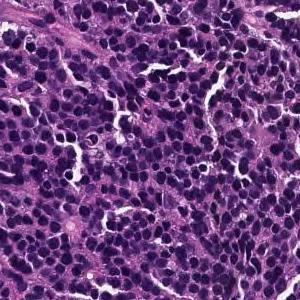
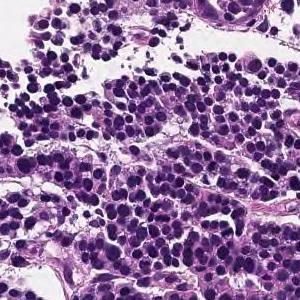
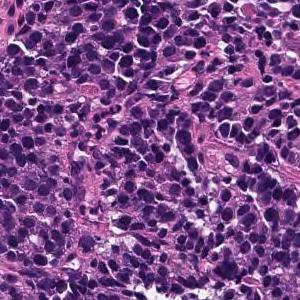
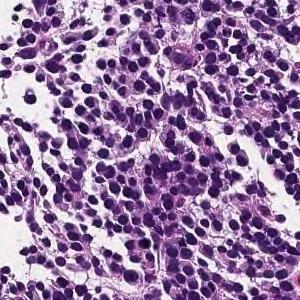
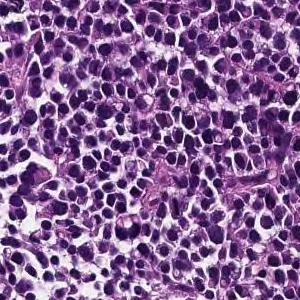
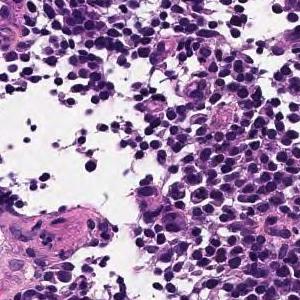
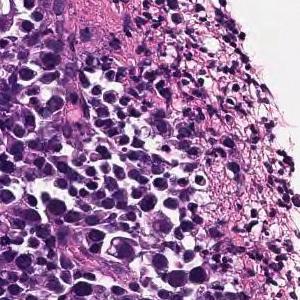
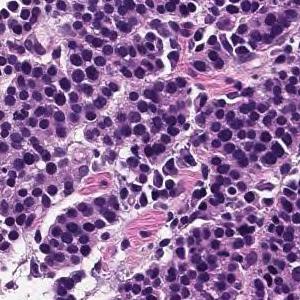
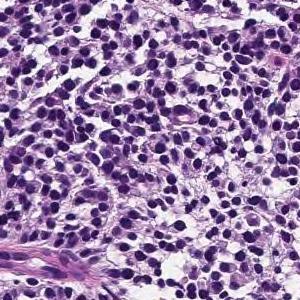
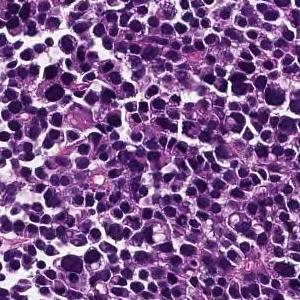
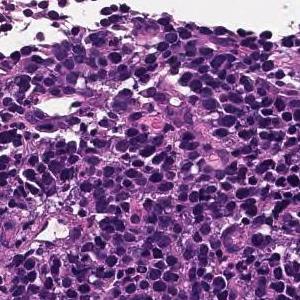
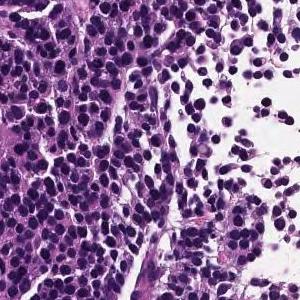
12 image tiles from a single gastric biopsy slide, ×20.
Pathology report for the biopsy slide these tiles were cut from. The report and the diagnosis cover the entire slide, so not every feature they name need be visible here, and some tissue shown may not be tumor.
Large sheet-like or diffusely infiltrating tumor tissue is found in the superficial epithelium. Poorly differentiated adenocarcinoma, solid-type
Classified as poorly differentiated adenocarcinoma, solid type, a category of the Japanese Classification of Gastric Carcinoma; in the WHO 2019 classification it is tubular adenocarcinoma, poorly differentiated.
